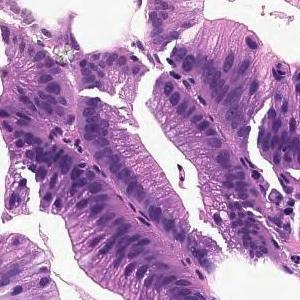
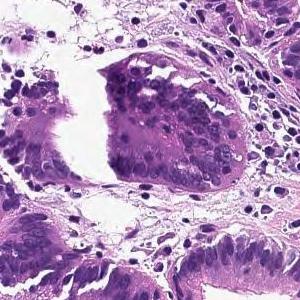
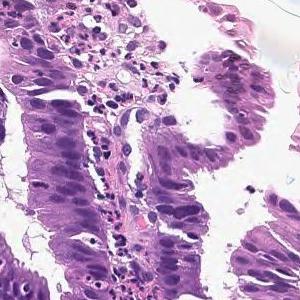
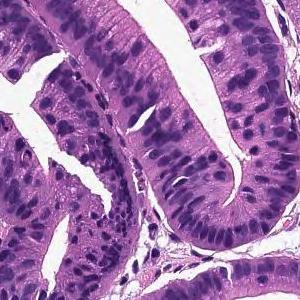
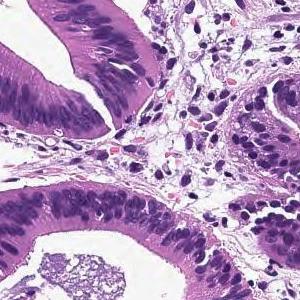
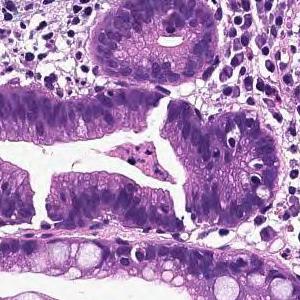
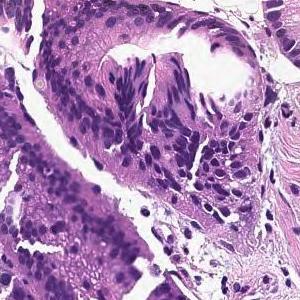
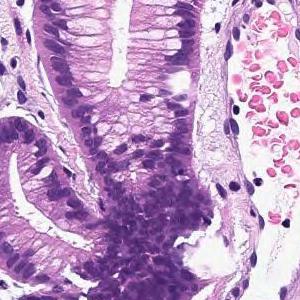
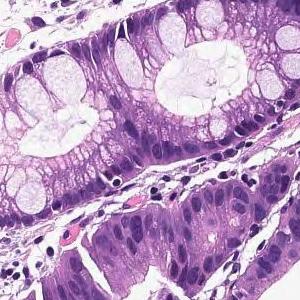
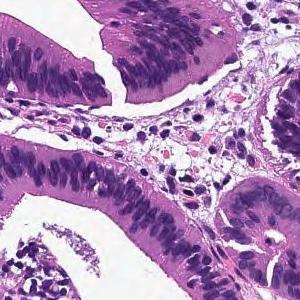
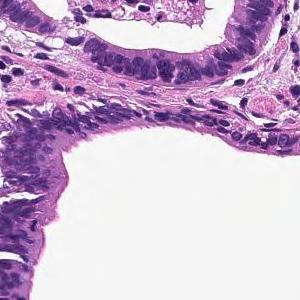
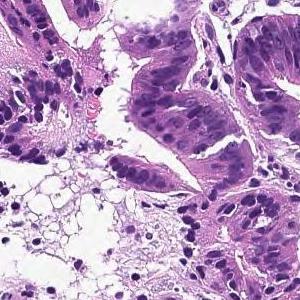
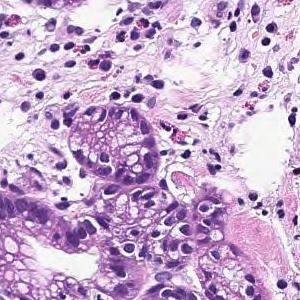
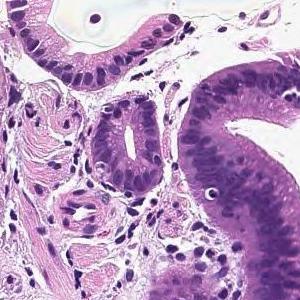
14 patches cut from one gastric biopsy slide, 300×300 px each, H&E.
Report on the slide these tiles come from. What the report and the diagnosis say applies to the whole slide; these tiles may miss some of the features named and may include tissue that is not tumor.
Infiltrating tumor tissue is observed in the superficial epithelium, showing large papillary structures or large and small ducts. Papillary adenocarcinoma
